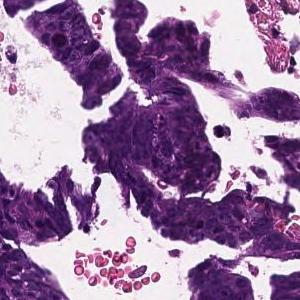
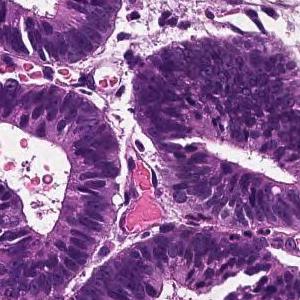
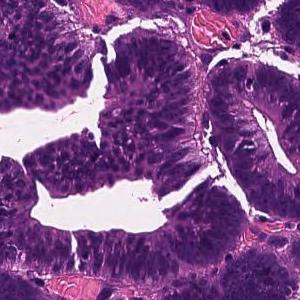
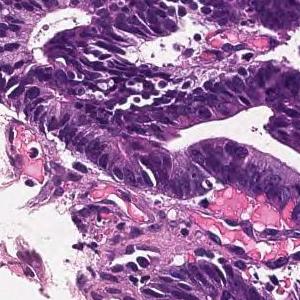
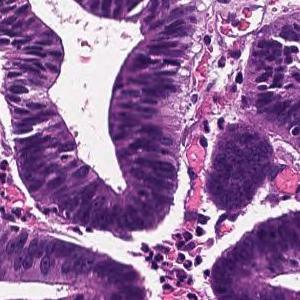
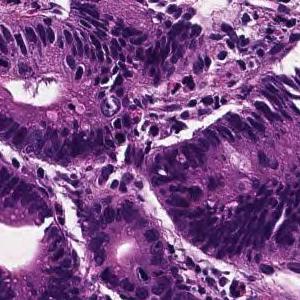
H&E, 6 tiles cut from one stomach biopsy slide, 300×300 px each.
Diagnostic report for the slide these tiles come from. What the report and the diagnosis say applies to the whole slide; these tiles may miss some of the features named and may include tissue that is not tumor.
Tumor tissue consisting of large papillary structures is found in the superficial epithelium. Papillary adenocarcinoma.
